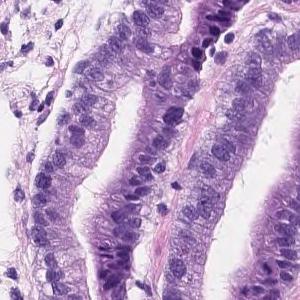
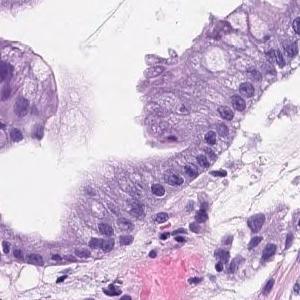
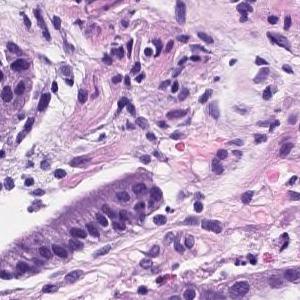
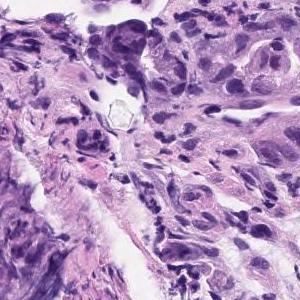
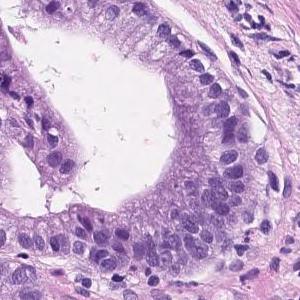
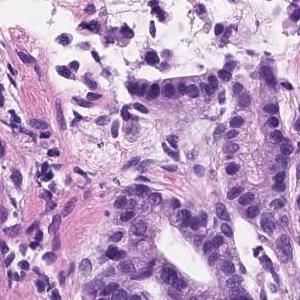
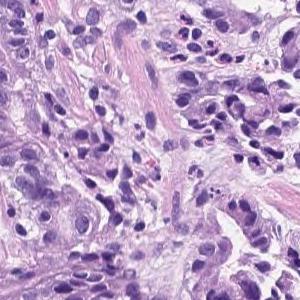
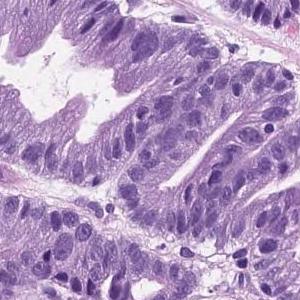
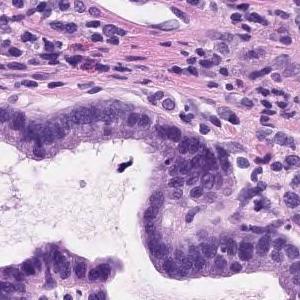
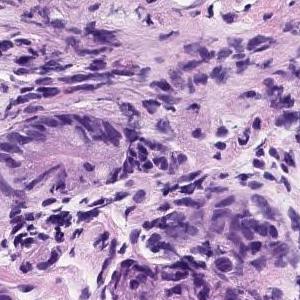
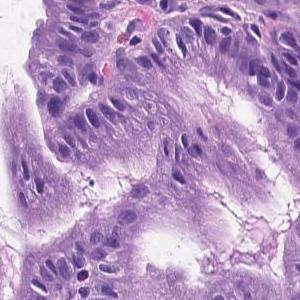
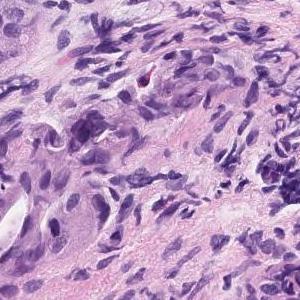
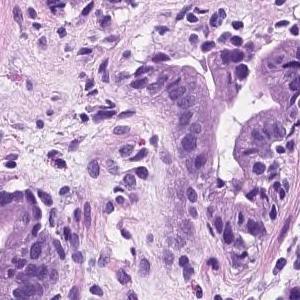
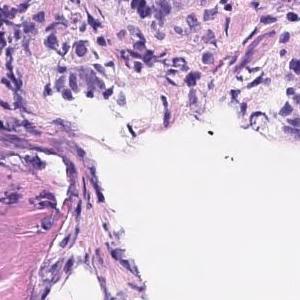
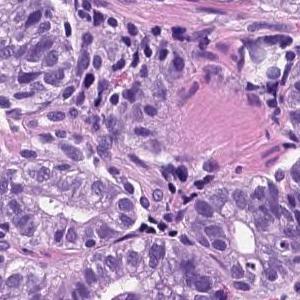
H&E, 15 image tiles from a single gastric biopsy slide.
Pathology report for the slide these tiles were cut from. The findings and the diagnosis refer to the entire slide; these tiles show only part of it, possibly with non-tumor tissue, and may not show every feature named.
Tumor tissue consisting of medium-sized and irregular ducts is observed infiltrating in the superficial epithelium. Tumor cells are highly columnar, with nuclei aligned basolaterally and polarized. Well differentiated tubular adenocarcinoma.
